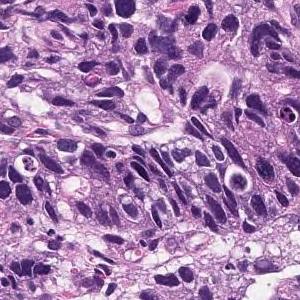
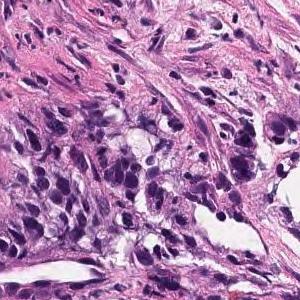
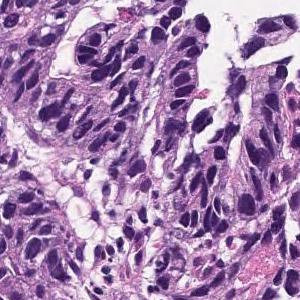
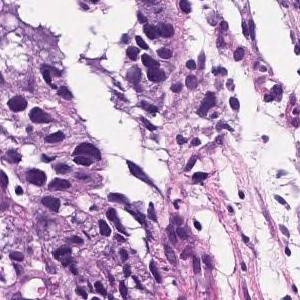
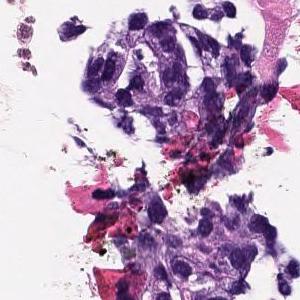
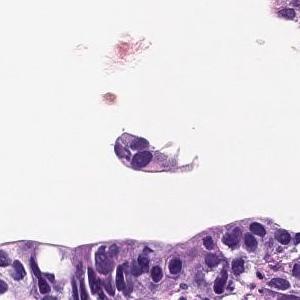
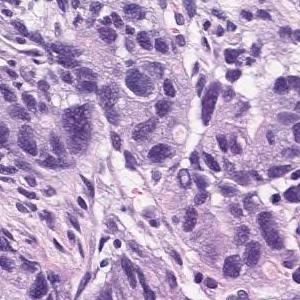
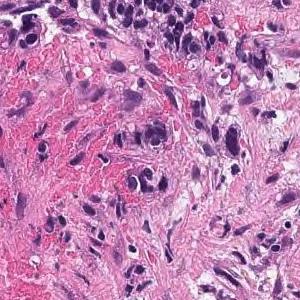
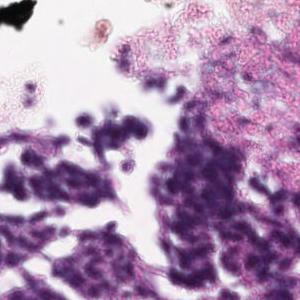
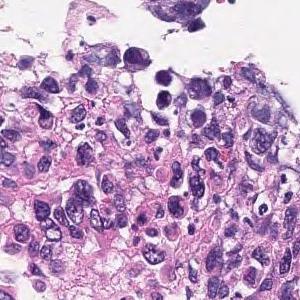
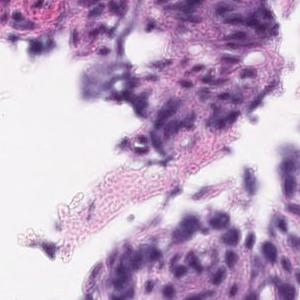
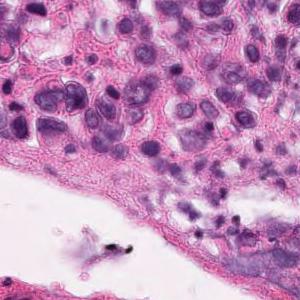
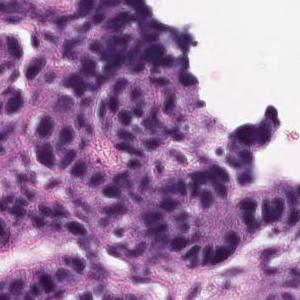
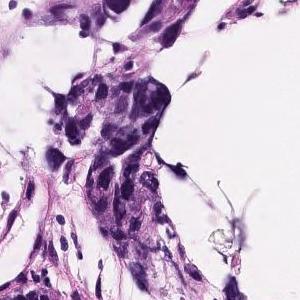
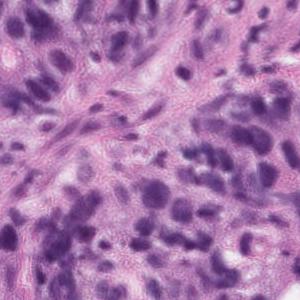
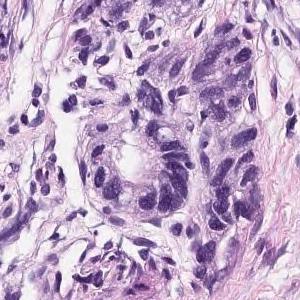
16 patches cut from one gastric biopsy slide; each 300 × 300 pixels; H&E; 20× magnification.
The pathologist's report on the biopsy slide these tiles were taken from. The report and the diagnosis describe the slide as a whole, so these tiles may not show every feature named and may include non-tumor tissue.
Medium to small, irregular glandular ducts are formed in the superficial epithelium, and in some cases, the glandular ducts are fused to show solid alveolar lesions and infiltrating tumor tissue is observed. Moderately to poorly differentiated adenocarcinoma.
